8 tiles from the same stomach biopsy slide, 300 × 300 pixels each, ×20, H&E.
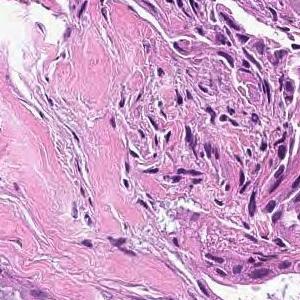
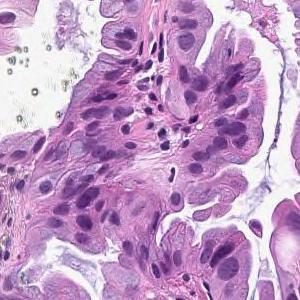
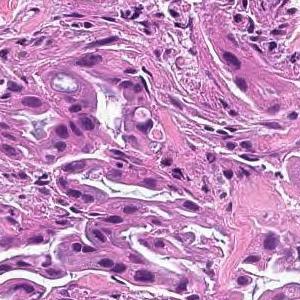
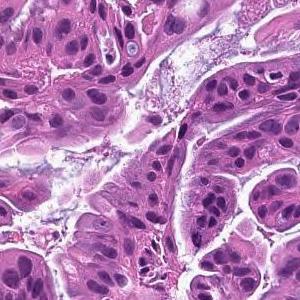
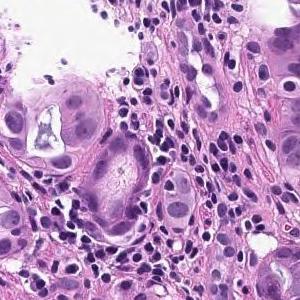
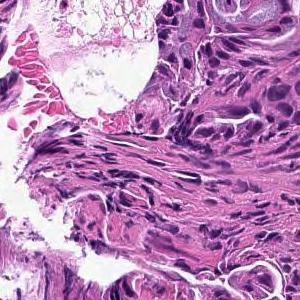
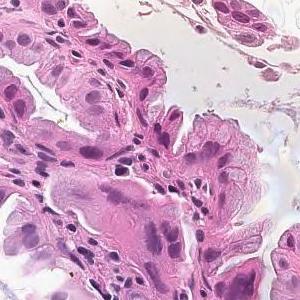
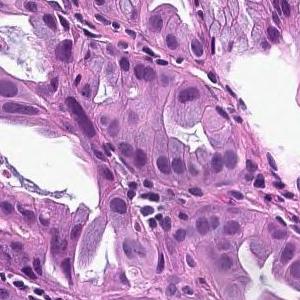
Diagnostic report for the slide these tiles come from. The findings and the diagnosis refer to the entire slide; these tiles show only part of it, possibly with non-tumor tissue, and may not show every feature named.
From the superficial epithelium to the muscularis mucosae, tumor tissue consisting of medium-sized and irregular glandular ducts infiltrating is observed. Well differentiated tubular adenocarcinoma
